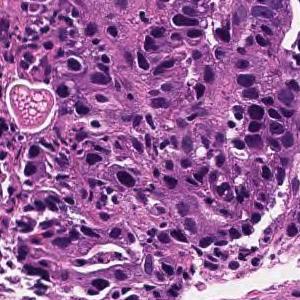
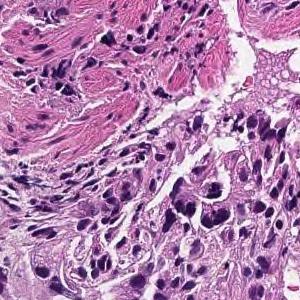
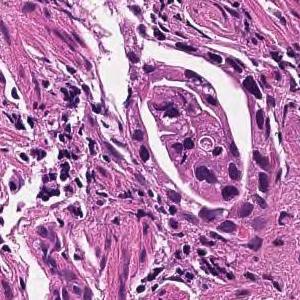
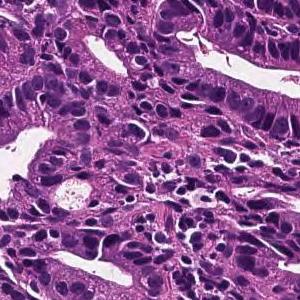
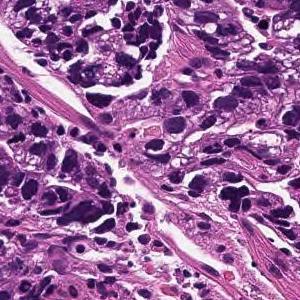
5 tiles cut from one stomach biopsy slide, 300×300 px each, ×20, hematoxylin and eosin stain.
Diagnostic report for the slide these tiles come from. Both the report and the diagnosis are for the whole slide: these tiles need not show every feature named, and some of the tissue shown may not be tumor.
On the superficial epithelium, tumor tissue is found in which medium-sized irregular gland ducts fuse with each other and infiltrate. moderately differentiated tubular adenocarcinoma or Poorly differentiated adenocarcinoma, non-solid type
Histological subtype: Moderately to poorly differentiated adenocarcinoma.
The non-solid type named here is a Japanese Classification of Gastric Carcinoma category.
